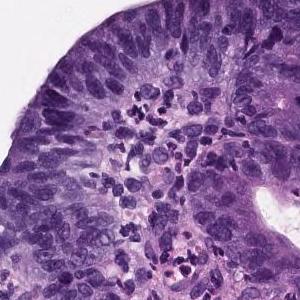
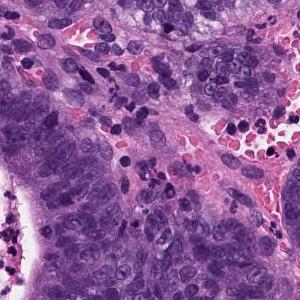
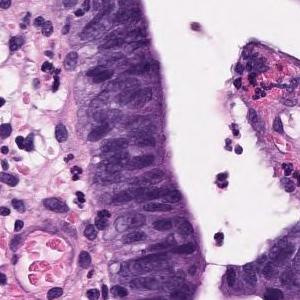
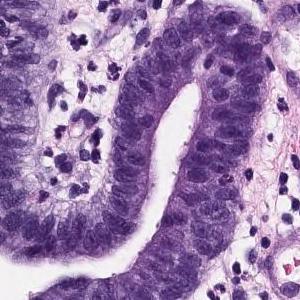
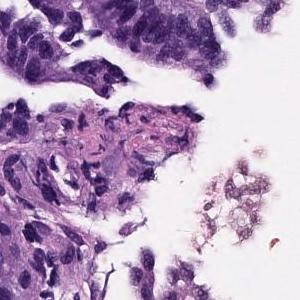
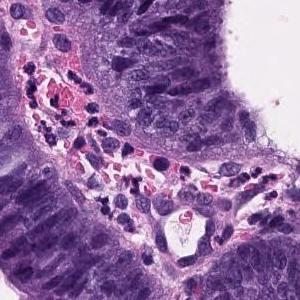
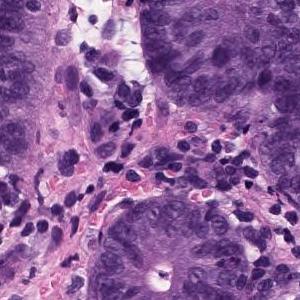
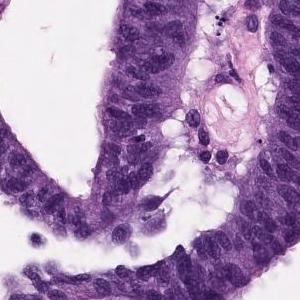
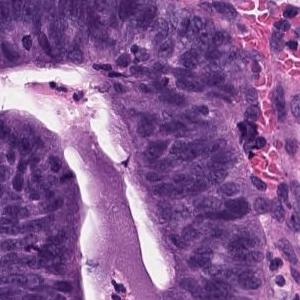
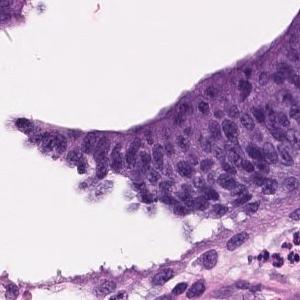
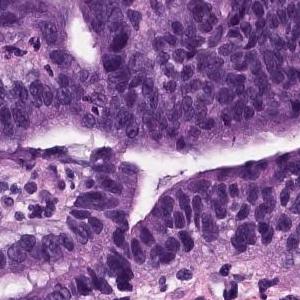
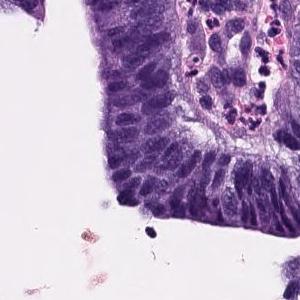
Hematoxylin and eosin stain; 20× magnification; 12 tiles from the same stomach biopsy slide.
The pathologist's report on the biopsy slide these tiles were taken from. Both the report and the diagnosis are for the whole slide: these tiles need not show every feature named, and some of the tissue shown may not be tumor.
Papillo-tubular growth of atypical tubules with nuclear swelling is observed. Well differentiated tubular adenocarcinoma
